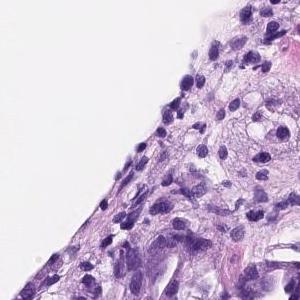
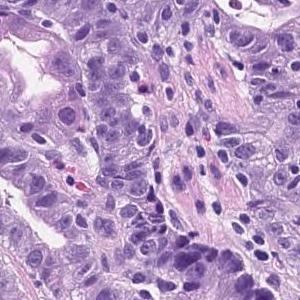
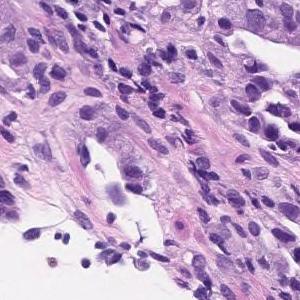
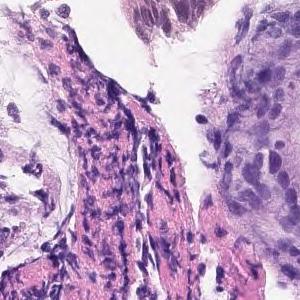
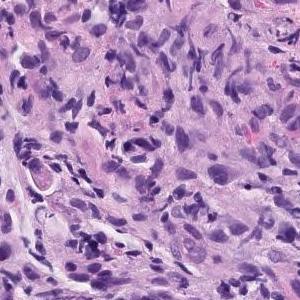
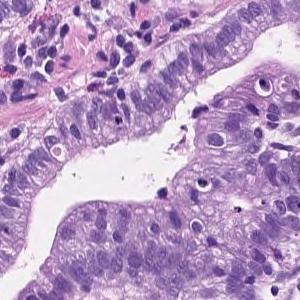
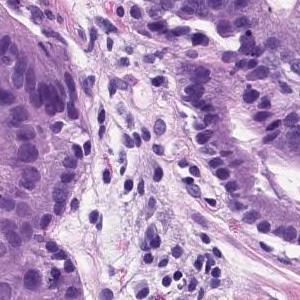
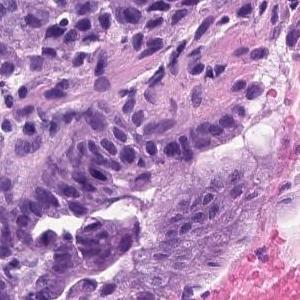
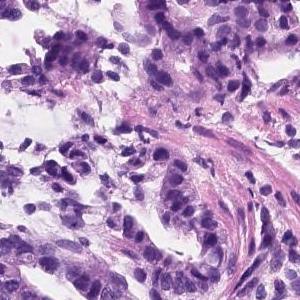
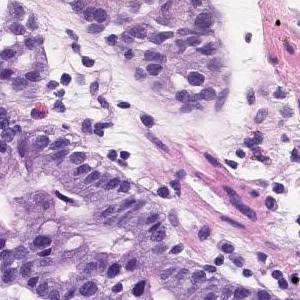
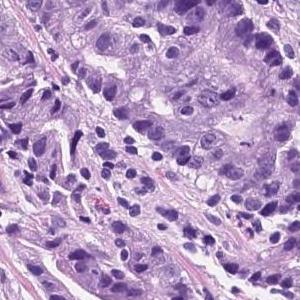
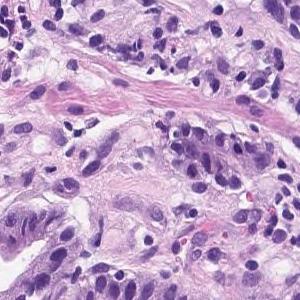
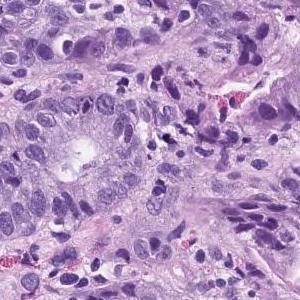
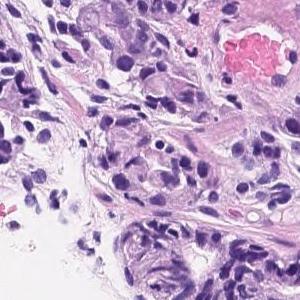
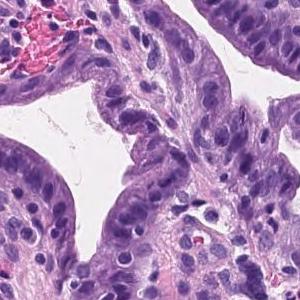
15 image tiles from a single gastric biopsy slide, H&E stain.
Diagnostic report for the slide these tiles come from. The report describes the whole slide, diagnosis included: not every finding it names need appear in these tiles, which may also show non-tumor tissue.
Tumor tissue consisting of medium-sized and irregular ducts is observed infiltrating in the superficial epithelium. Tumor cells are highly columnar, with nuclei aligned basolaterally and polarized. Well differentiated tubular adenocarcinoma.
